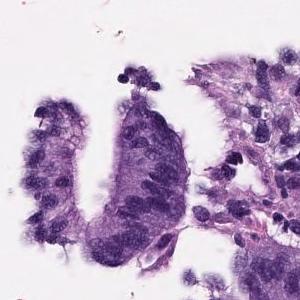
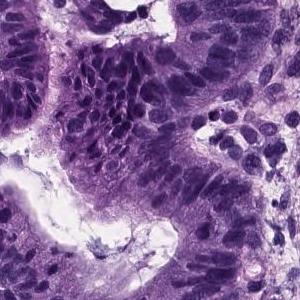
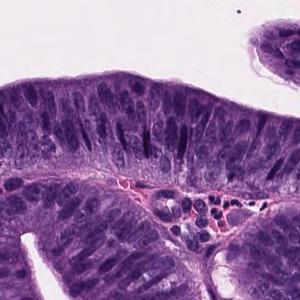
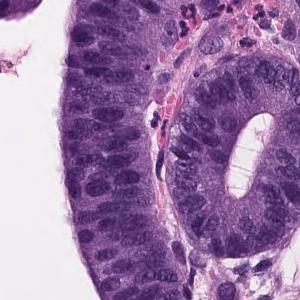
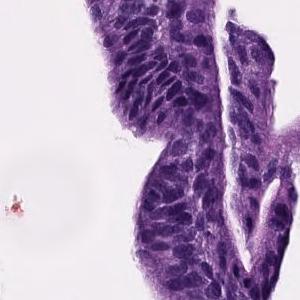
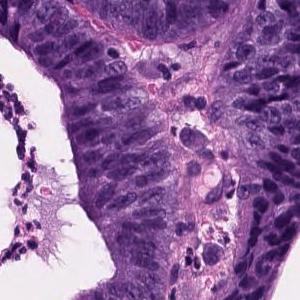
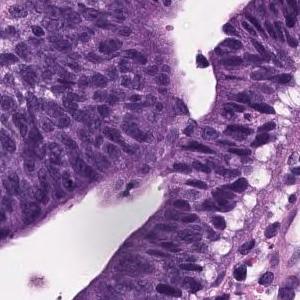
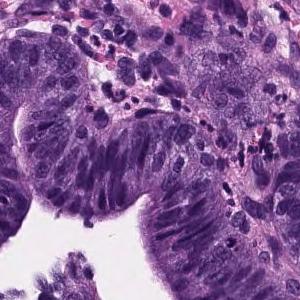
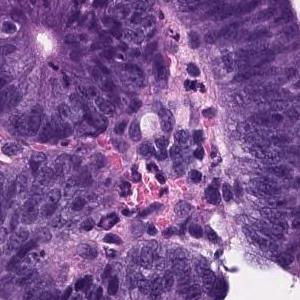
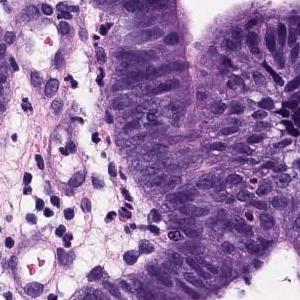
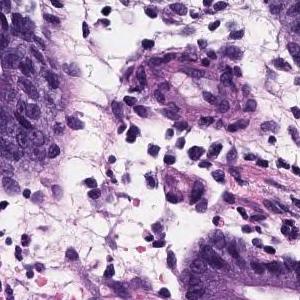
Scanned at ×20 · 11 patches cut from one gastric biopsy slide · 300 × 300 pixels each.
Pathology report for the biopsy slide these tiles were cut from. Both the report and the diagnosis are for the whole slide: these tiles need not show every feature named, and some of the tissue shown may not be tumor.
Papillo-tubular growth of atypical tubules with nuclear swelling is observed. Well differentiated tubular adenocarcinoma
